16 tiles from the same stomach biopsy slide; ×20.
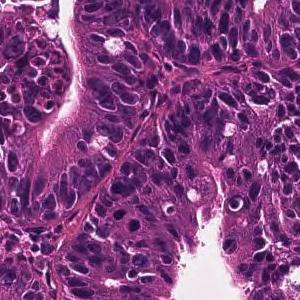
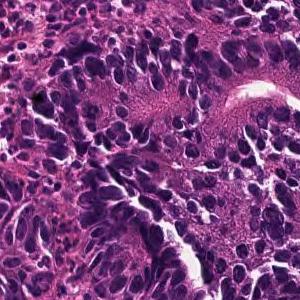
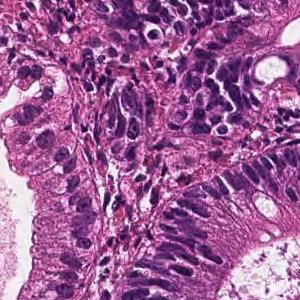
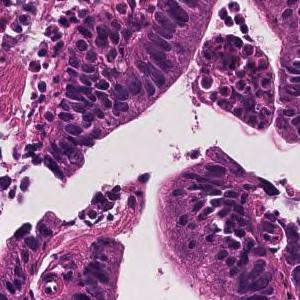
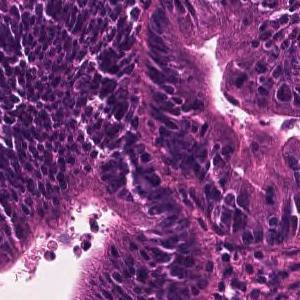
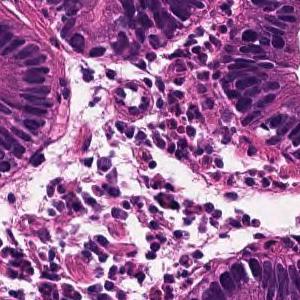
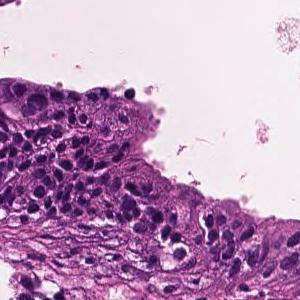
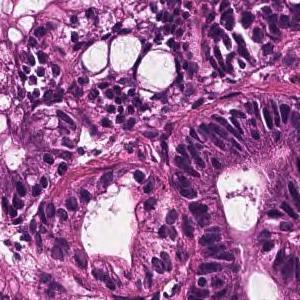
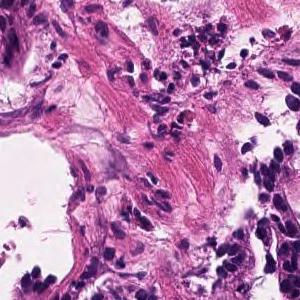
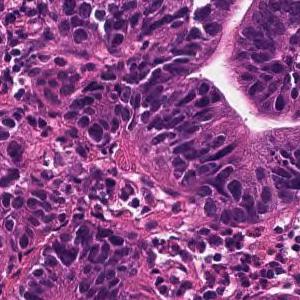
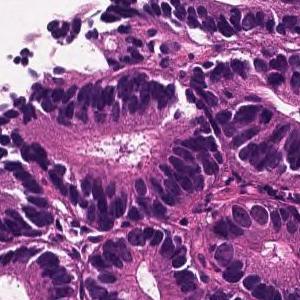
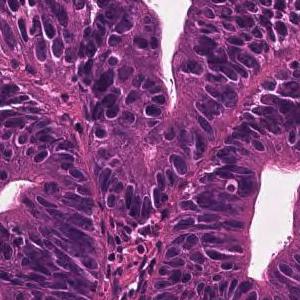
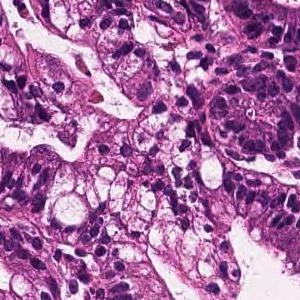
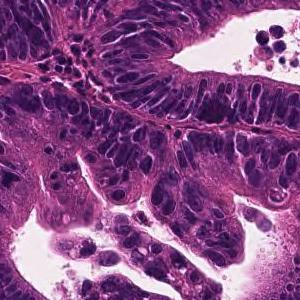
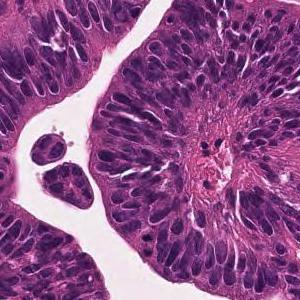
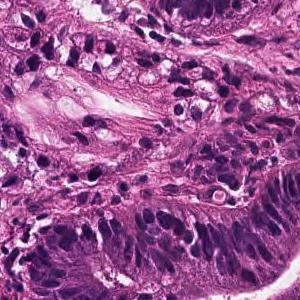
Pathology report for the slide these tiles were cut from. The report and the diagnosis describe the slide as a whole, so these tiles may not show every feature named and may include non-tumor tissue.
A large irregular tubular structure is exhibited in the epithelium, and tumor tissue that partially fuses and infiltrates and proliferates is observed. Large columnar tumor cells exhibit enlarged nucleus, hyperchromatism, and mitotic figures. Well differentiated tubular adenocarcinoma
